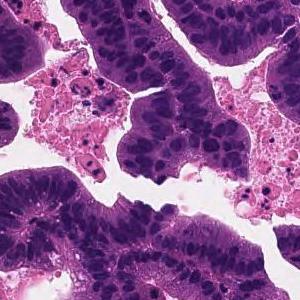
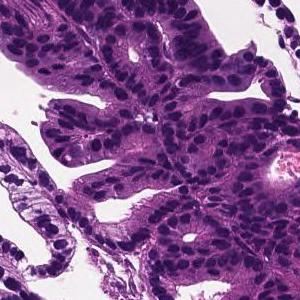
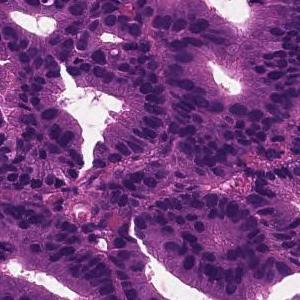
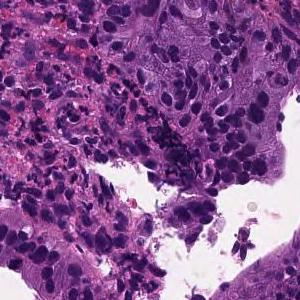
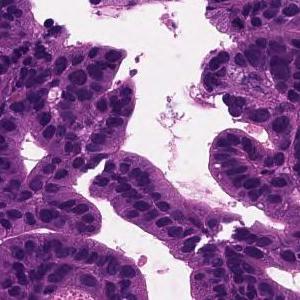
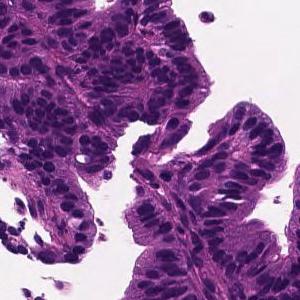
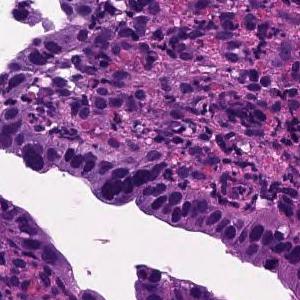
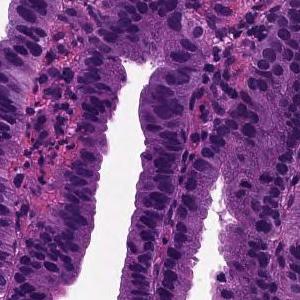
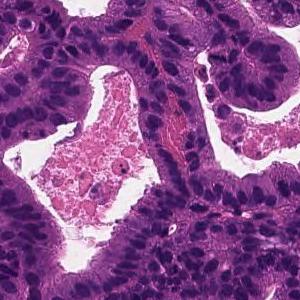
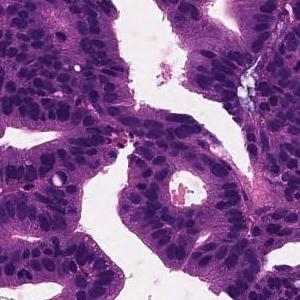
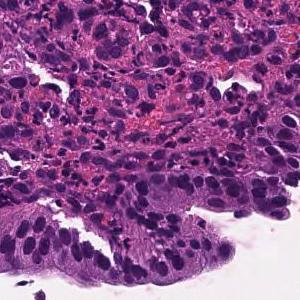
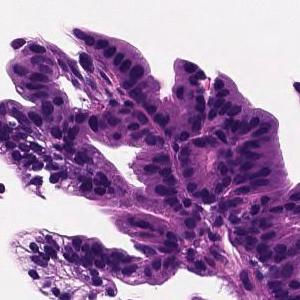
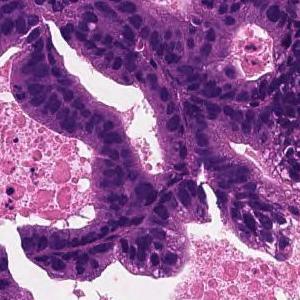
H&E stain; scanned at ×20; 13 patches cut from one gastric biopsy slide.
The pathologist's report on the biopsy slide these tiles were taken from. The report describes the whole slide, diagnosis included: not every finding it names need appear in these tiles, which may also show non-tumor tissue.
Tumor cells are large, highly columnar, large club-shaped nuclei, and are associated with chromatin aggregation. Papillary adenocarcinoma.
